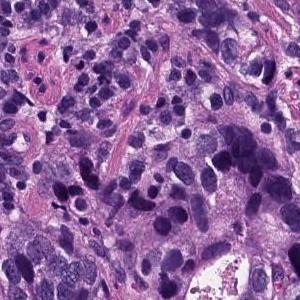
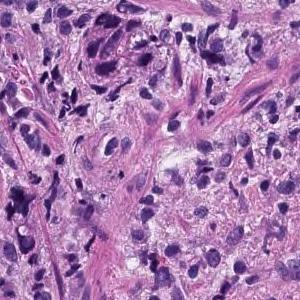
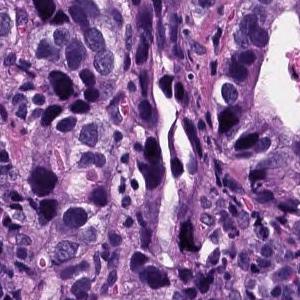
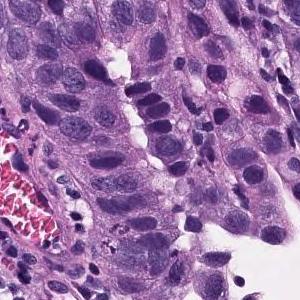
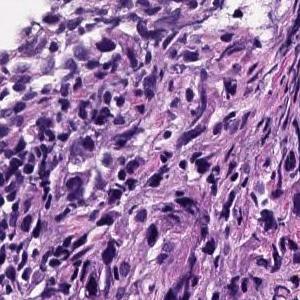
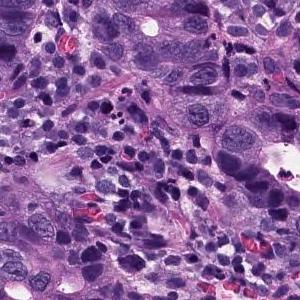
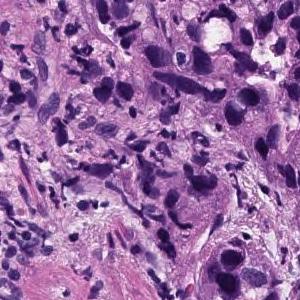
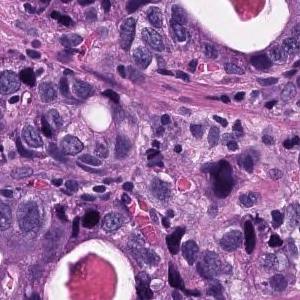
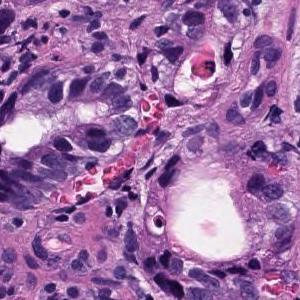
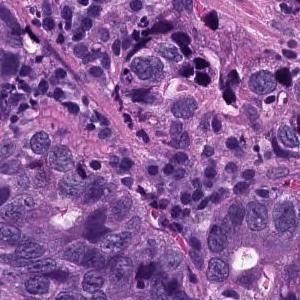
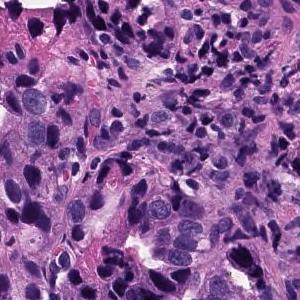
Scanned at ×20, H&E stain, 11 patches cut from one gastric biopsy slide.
Pathology report for the biopsy slide these tiles were cut from. The report and the diagnosis cover the entire slide, so not every feature they name need be visible here, and some tissue shown may not be tumor.
In the epithelium, tumor tissue in which medium to small irregular gland ducts fuse with each other and infiltrate the submucosa. moderately differentiated tubular adenocarcinoma
